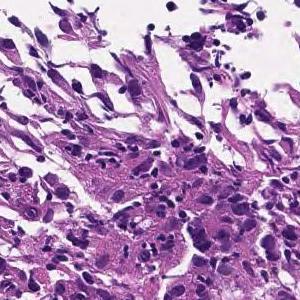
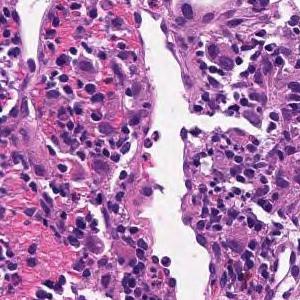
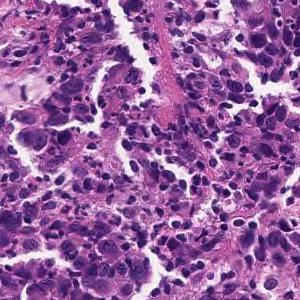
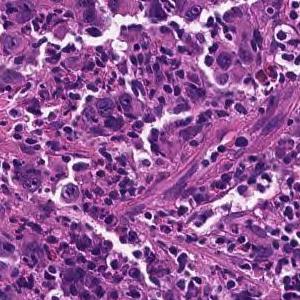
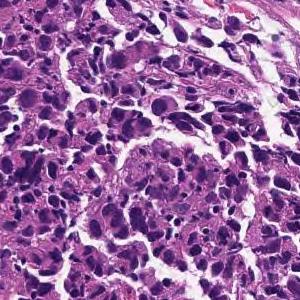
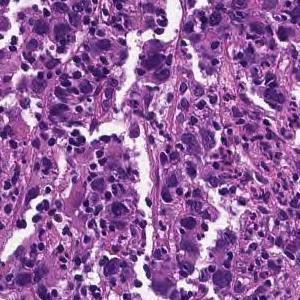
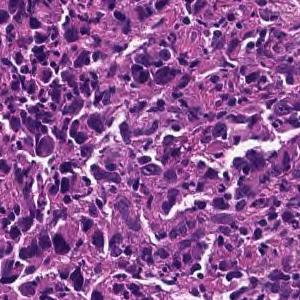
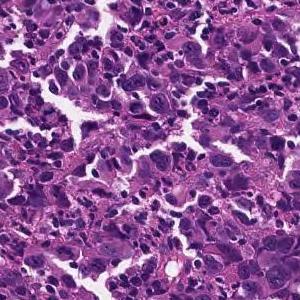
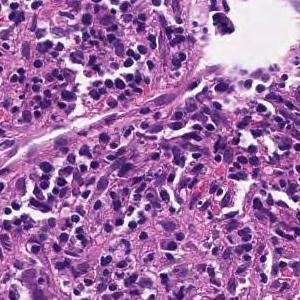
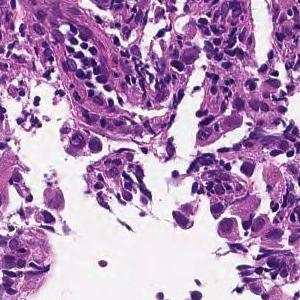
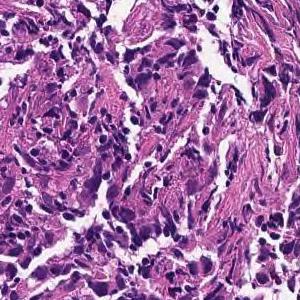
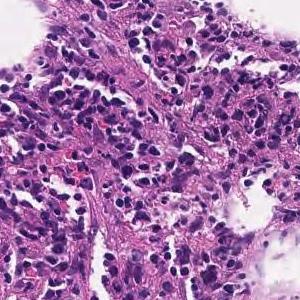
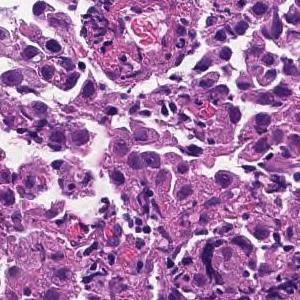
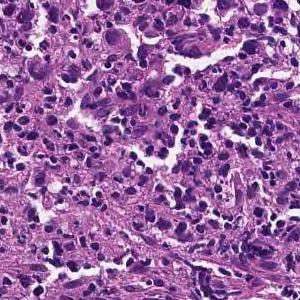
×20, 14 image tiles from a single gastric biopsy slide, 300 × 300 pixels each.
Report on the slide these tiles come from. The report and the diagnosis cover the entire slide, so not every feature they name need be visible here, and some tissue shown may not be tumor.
The superficial epithelium shows a large sheet-like shape, and some tumor tissue infiltrates with small irregular ducts. Poorly differentiated adenocarcinoma, solid-type (poorly differentiated adenocarcinoma, solid type)
Histologic type: Poorly differentiated adenocarcinoma, solid type (Japanese Classification of Gastric Carcinoma). The WHO 2019 equivalent is tubular adenocarcinoma, poorly differentiated.
